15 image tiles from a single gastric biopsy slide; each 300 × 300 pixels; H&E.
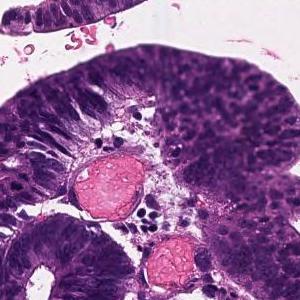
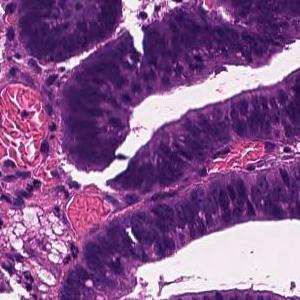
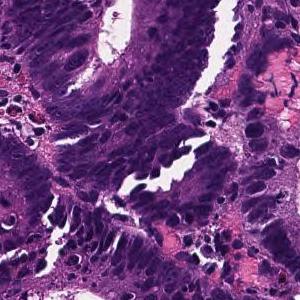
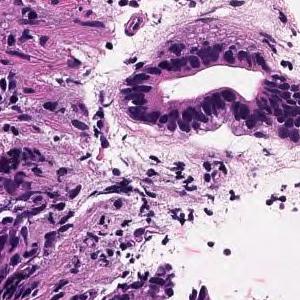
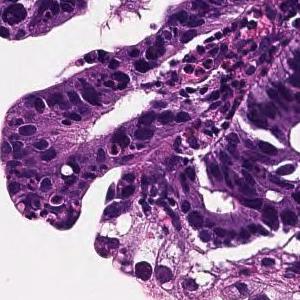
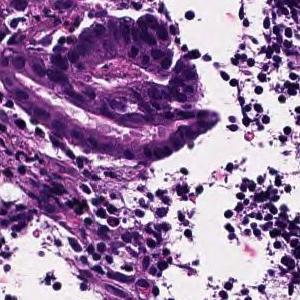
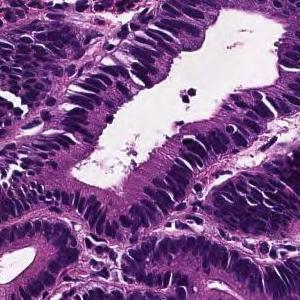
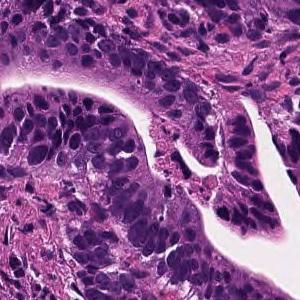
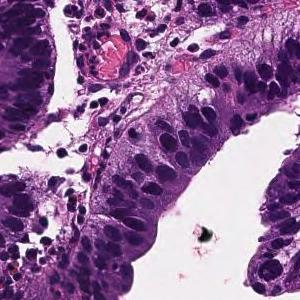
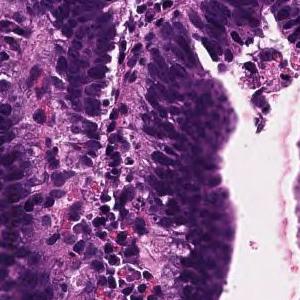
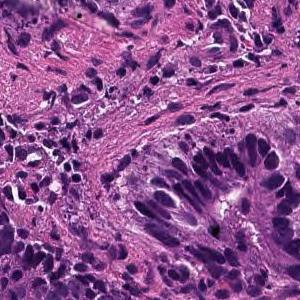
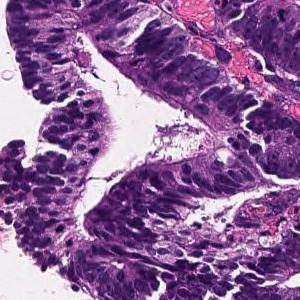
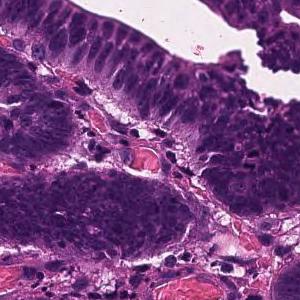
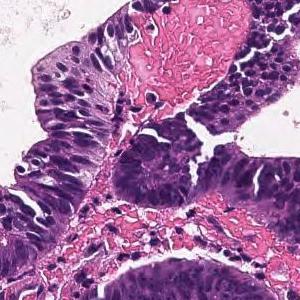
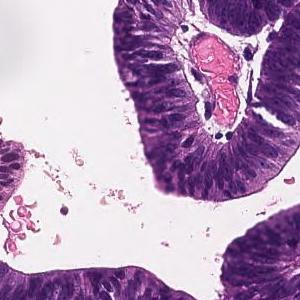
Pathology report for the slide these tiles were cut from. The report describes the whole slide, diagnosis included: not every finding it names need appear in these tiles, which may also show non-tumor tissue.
Tumor tissue consisting of large papillary structures is found in the superficial epithelium. Papillary adenocarcinoma.
